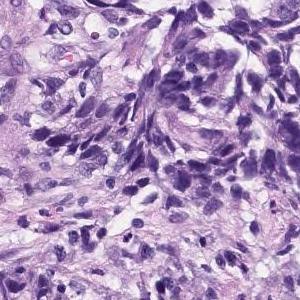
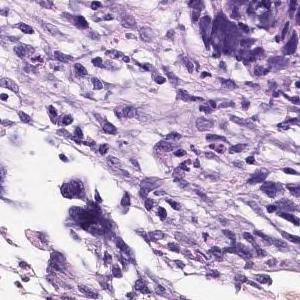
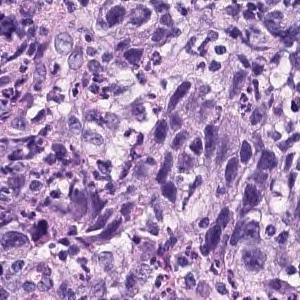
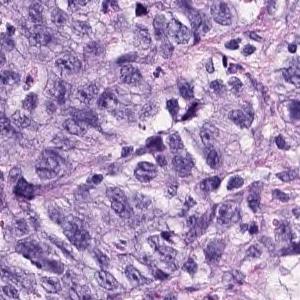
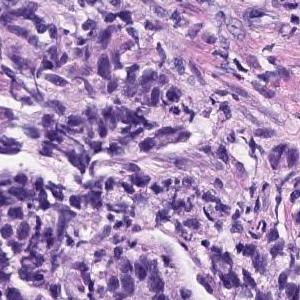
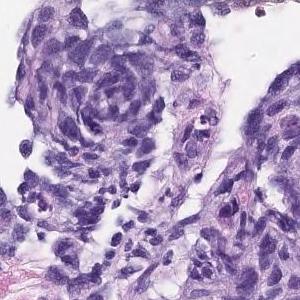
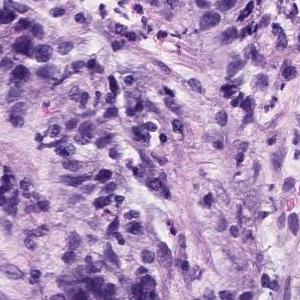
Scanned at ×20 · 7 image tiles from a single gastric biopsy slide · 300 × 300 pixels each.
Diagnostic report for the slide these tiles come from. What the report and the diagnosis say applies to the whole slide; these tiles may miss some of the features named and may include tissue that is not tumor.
The superficial epithelium shows a large sheet-like shape, and some tumor tissue infiltrates with small irregular ducts. Poorly differentiated adenocarcinoma, solid-type
Tumor subtype: poorly differentiated adenocarcinoma, solid type. This name comes from the Japanese Classification of Gastric Carcinoma; the WHO 2019 classification calls it tubular adenocarcinoma, poorly differentiated.
